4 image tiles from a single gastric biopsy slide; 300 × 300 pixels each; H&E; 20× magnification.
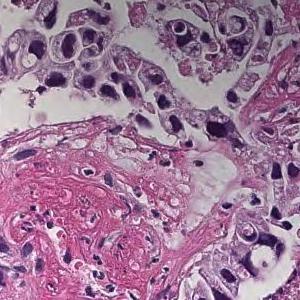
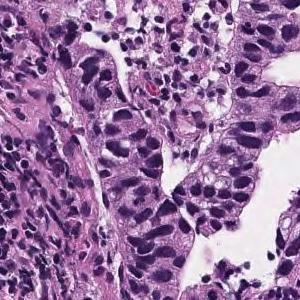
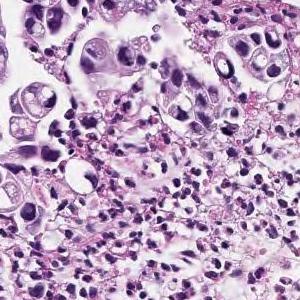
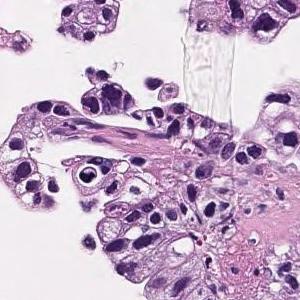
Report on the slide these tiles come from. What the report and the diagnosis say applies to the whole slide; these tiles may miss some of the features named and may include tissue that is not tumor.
Tumor cells are large, highly columnar, large club-shaped nuclei, and are associated with chromatin aggregation. Papillary adenocarcinoma.
